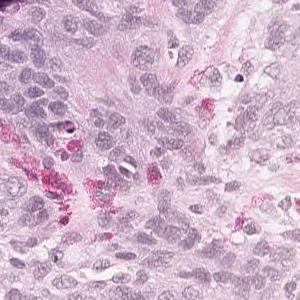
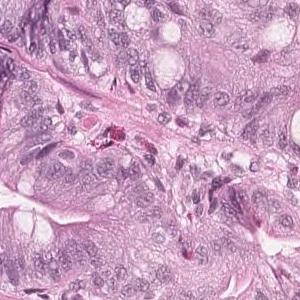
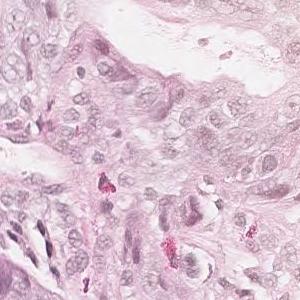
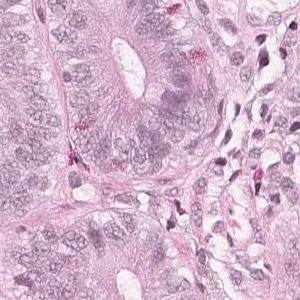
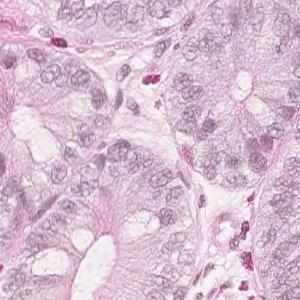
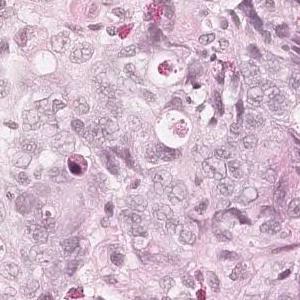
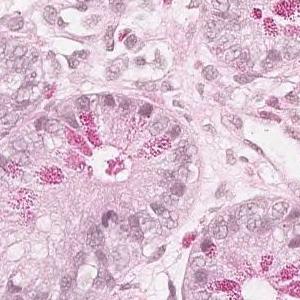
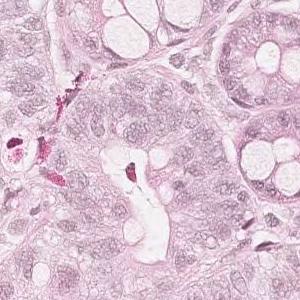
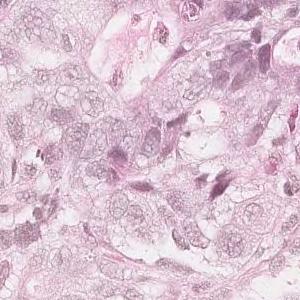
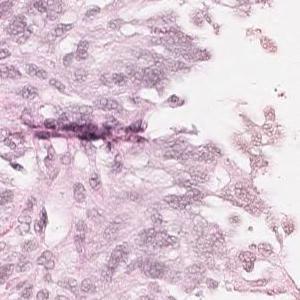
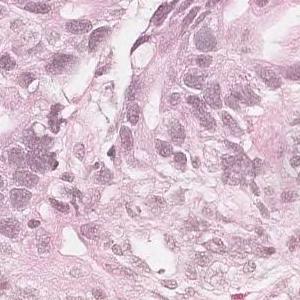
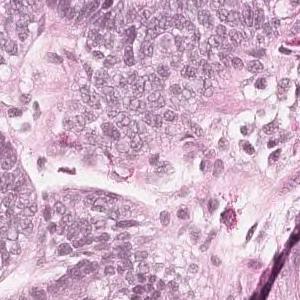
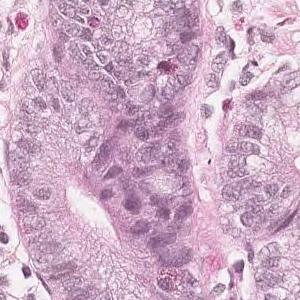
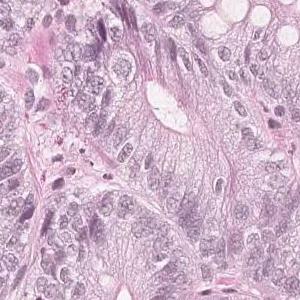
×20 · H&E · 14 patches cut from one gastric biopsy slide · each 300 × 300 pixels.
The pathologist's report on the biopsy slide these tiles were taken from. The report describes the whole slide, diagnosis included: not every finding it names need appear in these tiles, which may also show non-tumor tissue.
Medium to small, irregular glandular ducts are formed in the superficial epithelium, and in some cases, the glandular ducts are fused to show solid alveolar lesions and infiltrating tumor tissue is observed. Moderately to poorly differentiated adenocarcinoma.
